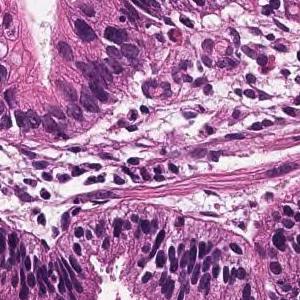
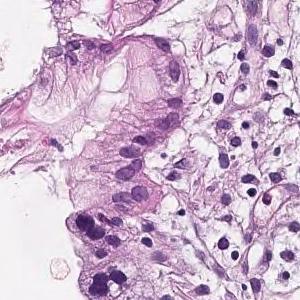
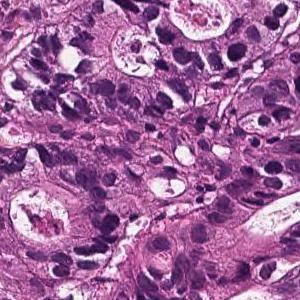
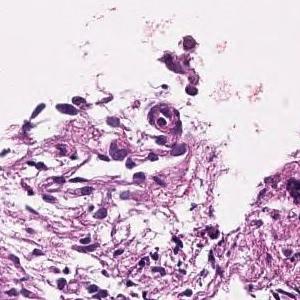
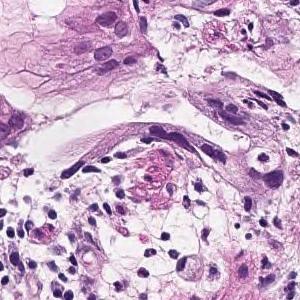
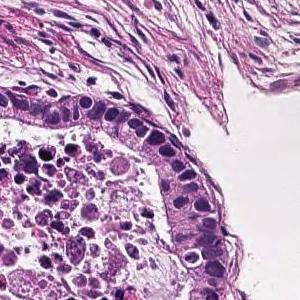
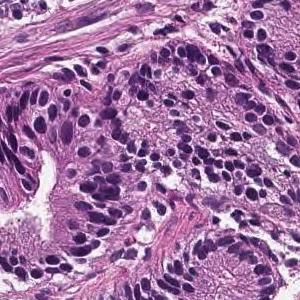
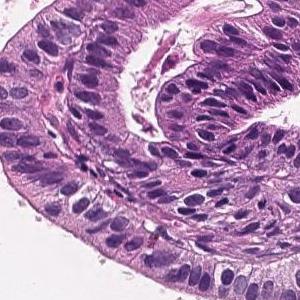
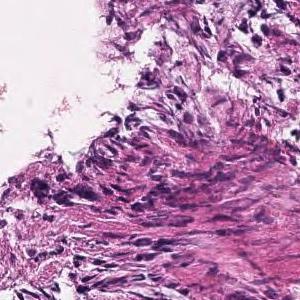
Hematoxylin and eosin stain; 20× magnification; 9 tiles cut from one stomach biopsy slide; 300×300 px each.
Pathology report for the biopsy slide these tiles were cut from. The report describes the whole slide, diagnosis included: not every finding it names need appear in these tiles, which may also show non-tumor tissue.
On the superficial epithelium, tumor tissue consisting of large, irregular glandular ducts partially fused and infiltrated is observed. Well to moderately differentiated tubular adenocarcinoma (well differentiated tubular adenocarcinoma, moderately differentiated tubular adenocarcinoma)
Subtype: Well to moderately differentiated tubular adenocarcinoma.
